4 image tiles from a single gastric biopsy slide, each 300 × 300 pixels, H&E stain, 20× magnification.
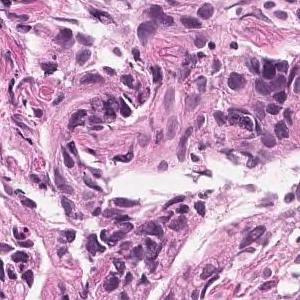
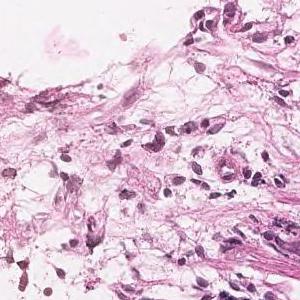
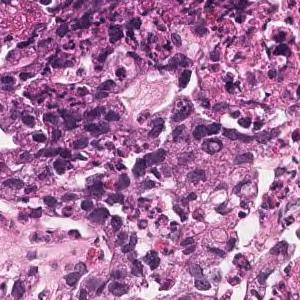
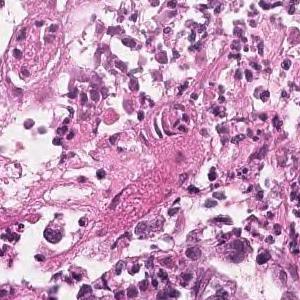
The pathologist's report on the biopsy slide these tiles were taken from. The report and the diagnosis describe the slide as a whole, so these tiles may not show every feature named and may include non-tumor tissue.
In the superficial epithelium, medium to small irregular gland ducts are formed, and in some cases, the ducts are fused to show solid alveolar lesions and infiltrating tumor tissue is observed. Moderately to poorly differentiated adenocarcinoma
